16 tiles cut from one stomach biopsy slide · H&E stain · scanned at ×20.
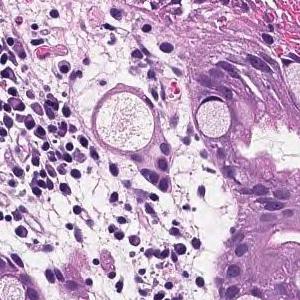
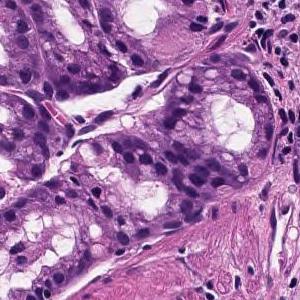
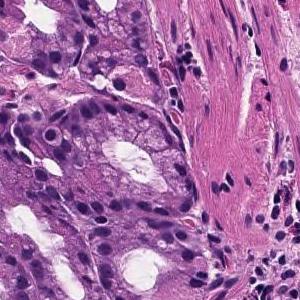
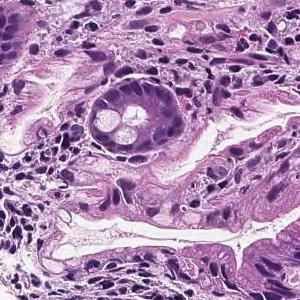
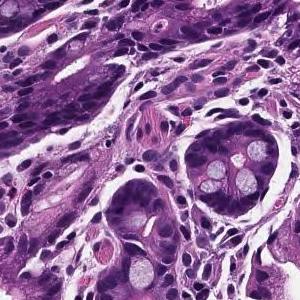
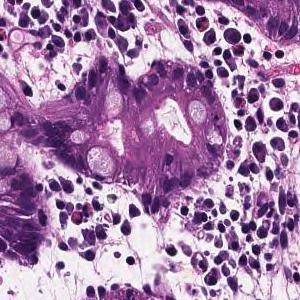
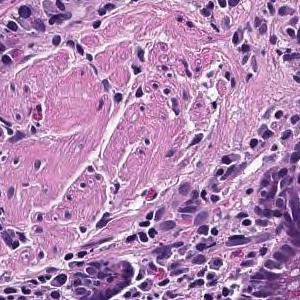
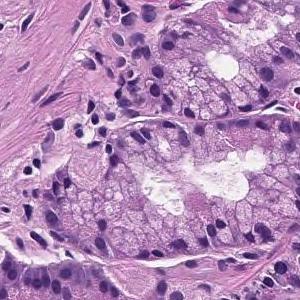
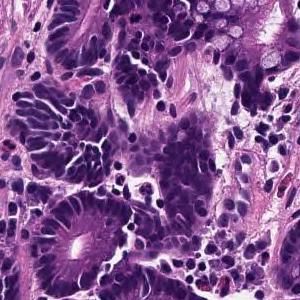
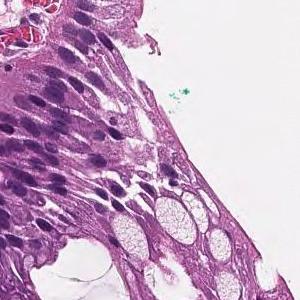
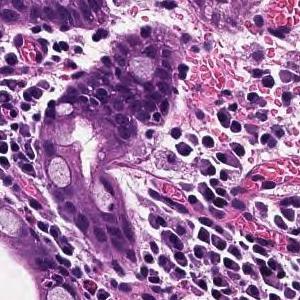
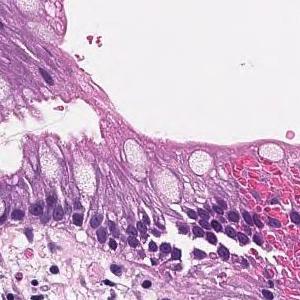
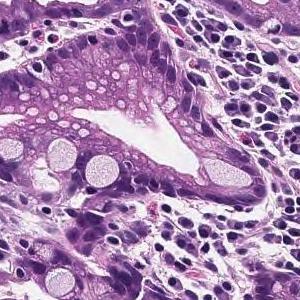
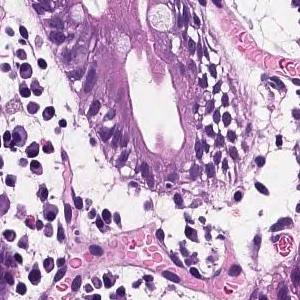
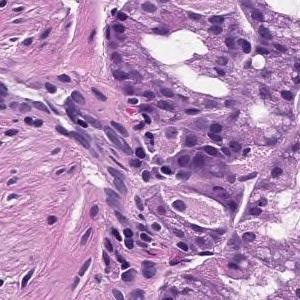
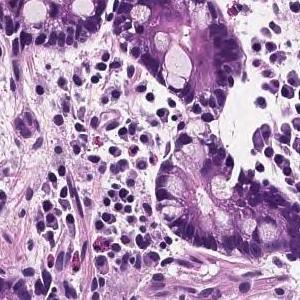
The pathologist's report on the biopsy slide these tiles were taken from. The report and the diagnosis cover the entire slide, so not every feature they name need be visible here, and some tissue shown may not be tumor.
From the superficial epithelium to the muscularis mucosae, tumor tissue consisting of medium-sized and irregular glandular ducts infiltrating is observed. Well differentiated tubular adenocarcinoma
